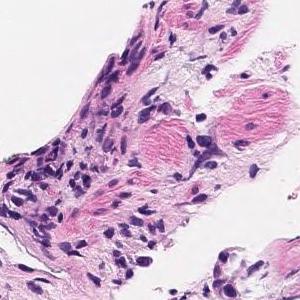
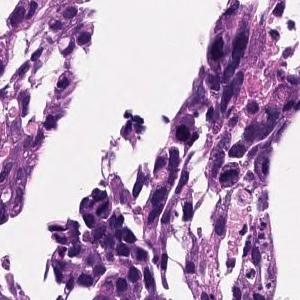
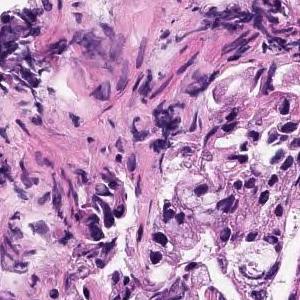
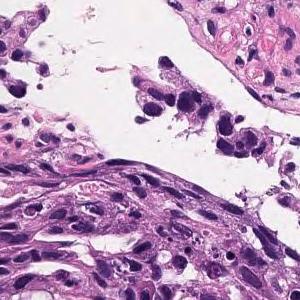
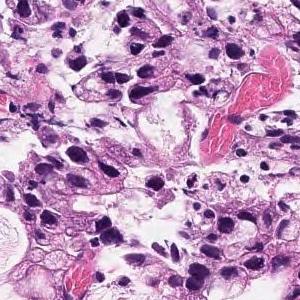
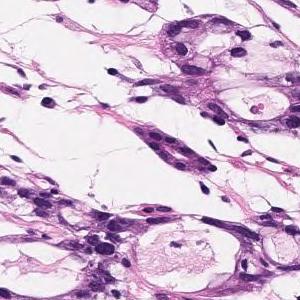
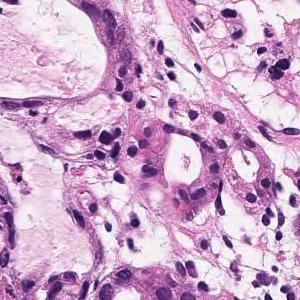
20× magnification; 7 tiles from the same stomach biopsy slide.
Report on the slide these tiles come from. The report describes the whole slide, diagnosis included: not every finding it names need appear in these tiles, which may also show non-tumor tissue.
In the superficial epithelium, tumor tissue that invades by forming medium-sized to small, irregular ducts is observed. Moderately differentiated adenocarcinoma.
Tumor subtype: moderately differentiated tubular adenocarcinoma.
